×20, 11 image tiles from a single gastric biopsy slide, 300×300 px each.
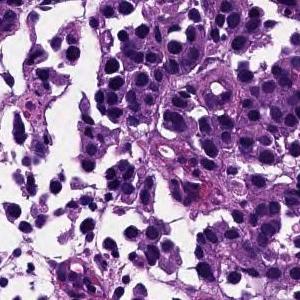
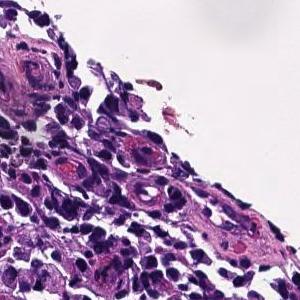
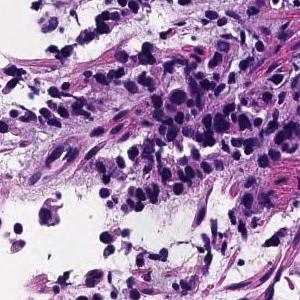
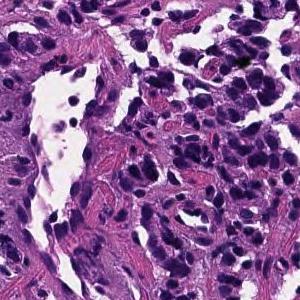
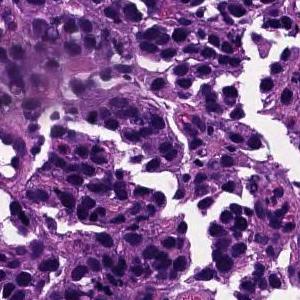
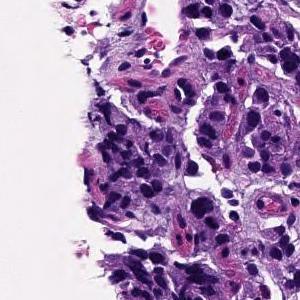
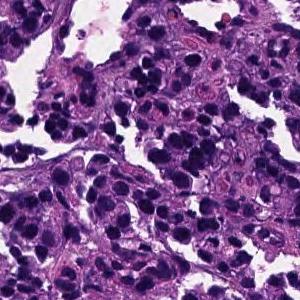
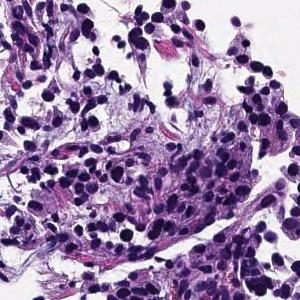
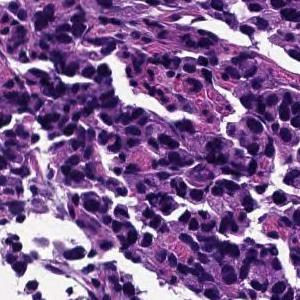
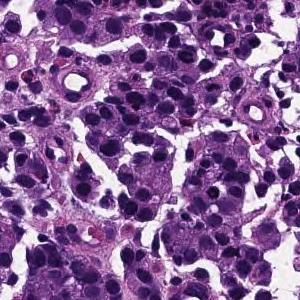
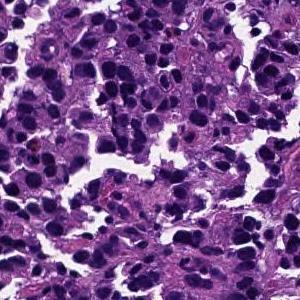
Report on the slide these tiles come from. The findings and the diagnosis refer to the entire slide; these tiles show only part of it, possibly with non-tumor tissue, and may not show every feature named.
The superficial epithelium shows a large alveolar shape and infiltrates tumor tissue. Poorly differentiated adenocarcinoma, solid-type
Subtype: Poorly differentiated adenocarcinoma, solid type (Japanese Classification of Gastric Carcinoma). The WHO 2019 equivalent is tubular adenocarcinoma, poorly differentiated.
